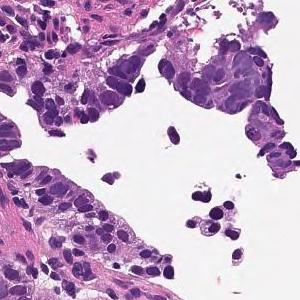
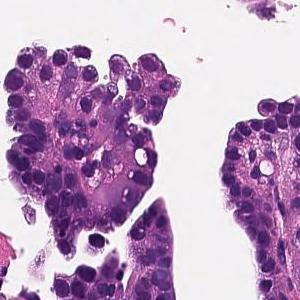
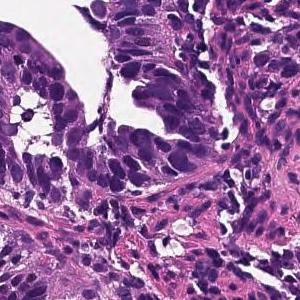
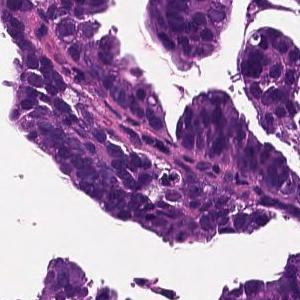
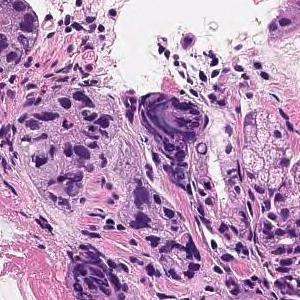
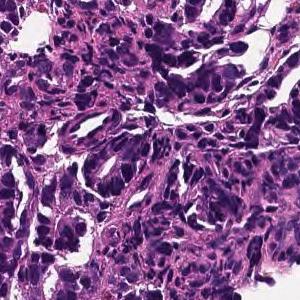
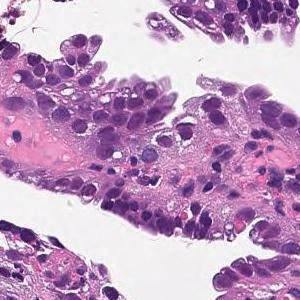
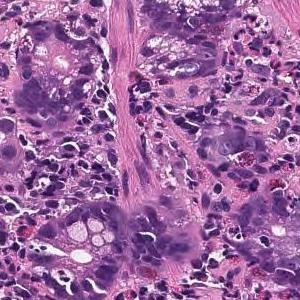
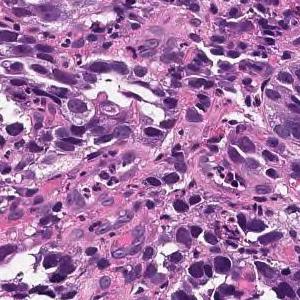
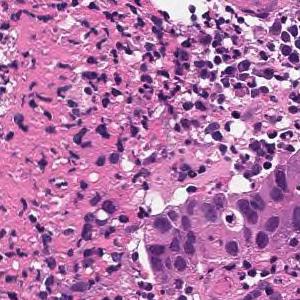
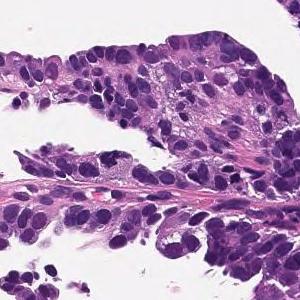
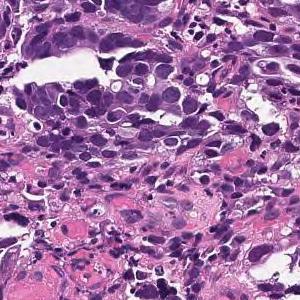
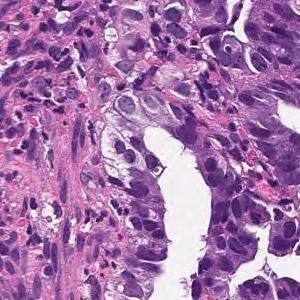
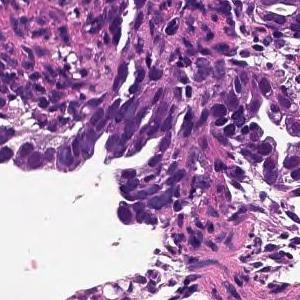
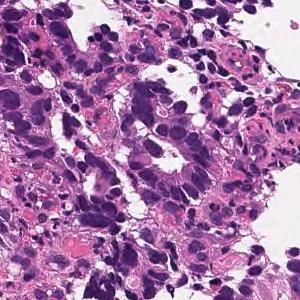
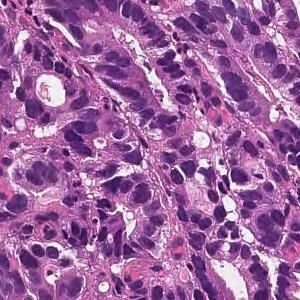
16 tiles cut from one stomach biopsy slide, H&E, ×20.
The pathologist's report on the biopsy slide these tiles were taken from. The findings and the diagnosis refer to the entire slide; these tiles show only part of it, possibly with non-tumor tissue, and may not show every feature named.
Tumor cells are large, highly columnar, large club-shaped nuclei, and are associated with chromatin aggregation. Papillary adenocarcinoma.
